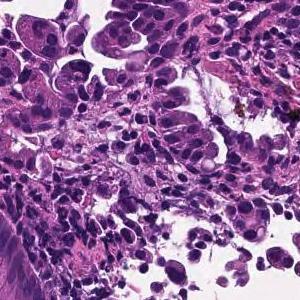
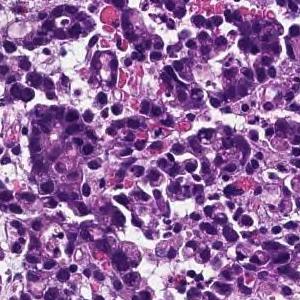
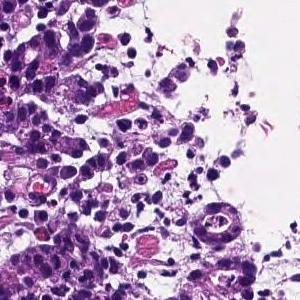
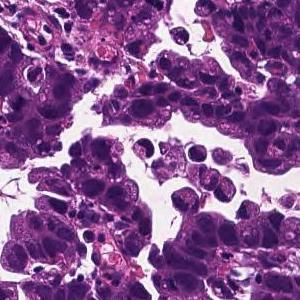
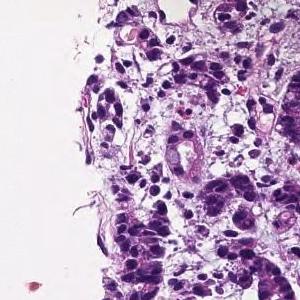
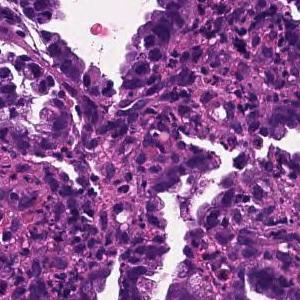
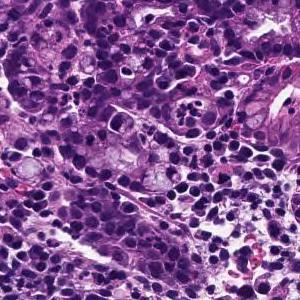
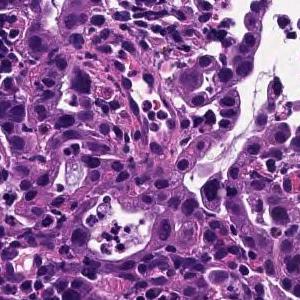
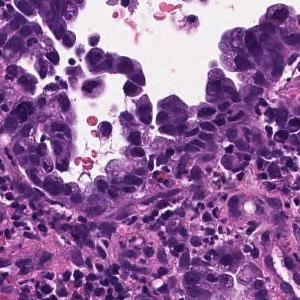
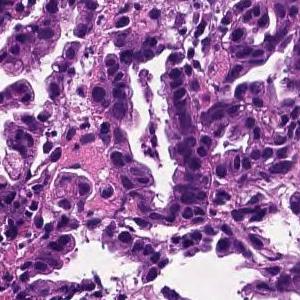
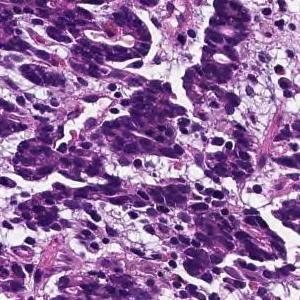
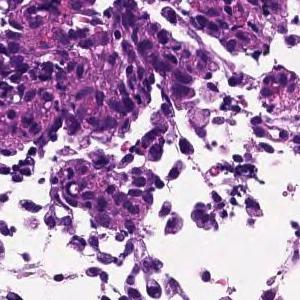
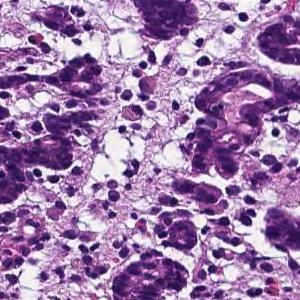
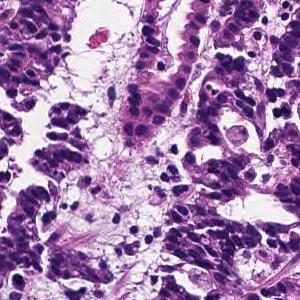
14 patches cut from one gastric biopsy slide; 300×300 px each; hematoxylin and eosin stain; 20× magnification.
Pathology report for the biopsy slide these tiles were cut from. The report and the diagnosis describe the slide as a whole, so these tiles may not show every feature named and may include non-tumor tissue.
In the superficial epithelium, tumor tissue that invades by forming medium-sized to small, irregular ducts is observed. moderately differentiated tubular adenocarcinoma.
